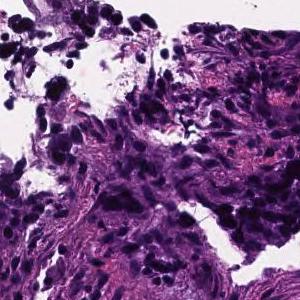
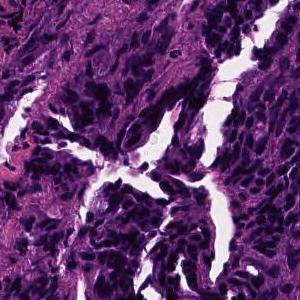
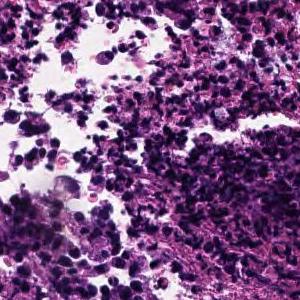
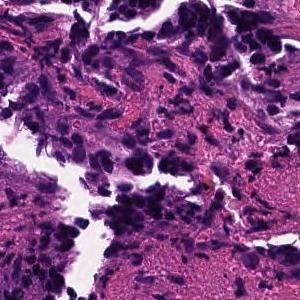
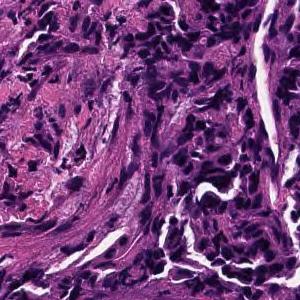
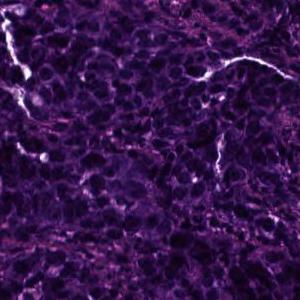
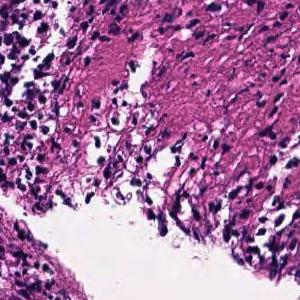
7 tiles from the same stomach biopsy slide; 300 × 300 pixels each; ×20.
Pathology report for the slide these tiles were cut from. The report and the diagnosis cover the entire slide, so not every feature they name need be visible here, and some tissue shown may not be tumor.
In the superficial epithelium, tumor tissue that invades by forming medium-sized to small, irregular ducts is observed. moderately differentiated tubular adenocarcinoma.
